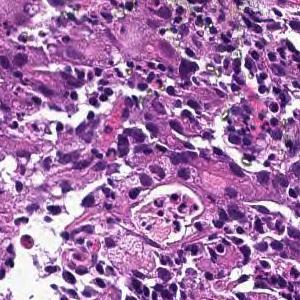
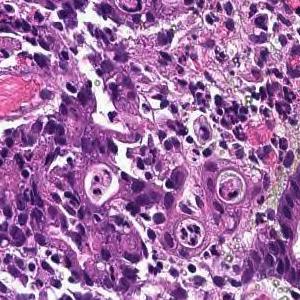
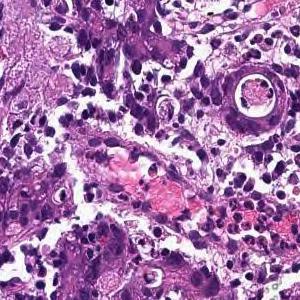
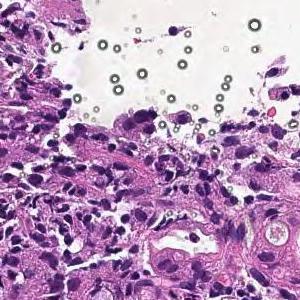
H&E · 4 tiles from the same stomach biopsy slide · 300×300 px each.
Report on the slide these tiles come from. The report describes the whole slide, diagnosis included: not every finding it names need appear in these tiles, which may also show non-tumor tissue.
In the superficial epithelium, tumor tissue that invades by forming medium-sized to small, irregular ducts is observed. moderately differentiated tubular adenocarcinoma.
